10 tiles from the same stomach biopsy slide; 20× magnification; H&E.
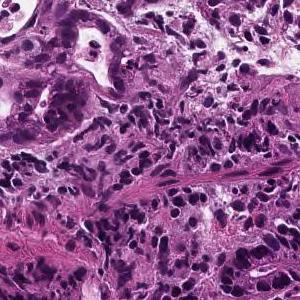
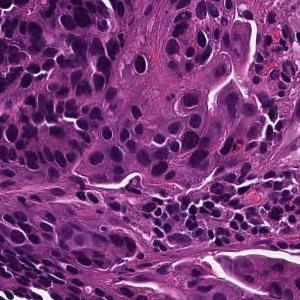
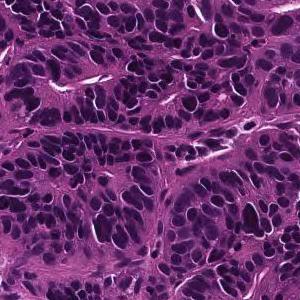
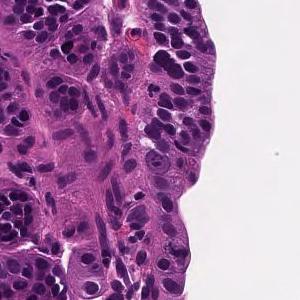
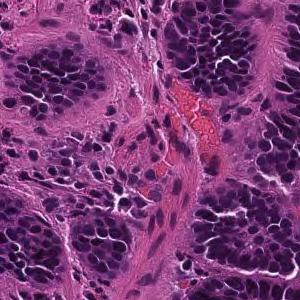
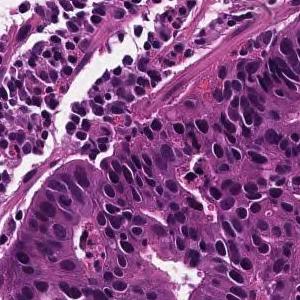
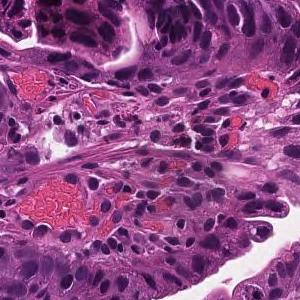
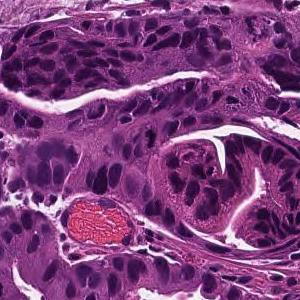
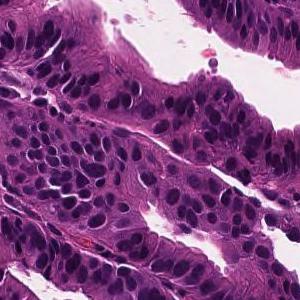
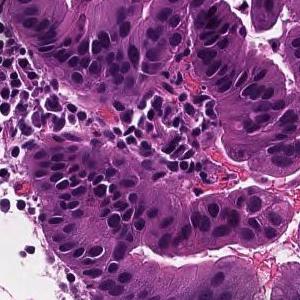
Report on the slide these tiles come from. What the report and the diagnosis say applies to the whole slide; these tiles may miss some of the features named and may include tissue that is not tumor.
From the superficial epithelium to the muscularis mucosae, tumor tissue consisting of medium-sized and irregular glandular ducts infiltrating is observed. Well differentiated tubular adenocarcinoma
